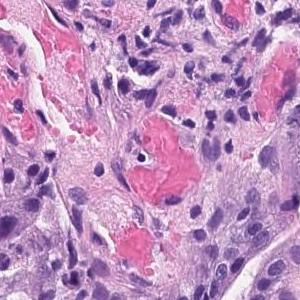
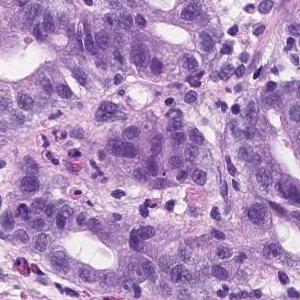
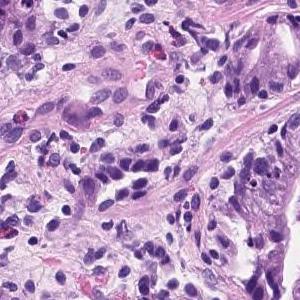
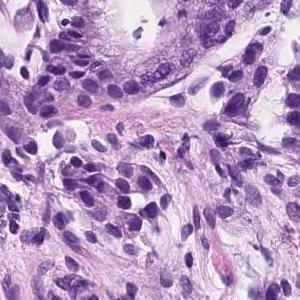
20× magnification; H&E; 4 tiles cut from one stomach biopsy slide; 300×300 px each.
Pathology report for the biopsy slide these tiles were cut from. What the report and the diagnosis say applies to the whole slide; these tiles may miss some of the features named and may include tissue that is not tumor.
Tumor tissue consisting of medium-sized and irregular ducts is observed infiltrating in the superficial epithelium. Tumor cells are highly columnar, with nuclei aligned basolaterally and polarized. Well differentiated tubular adenocarcinoma.
